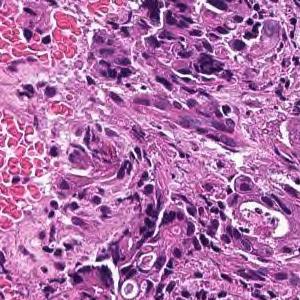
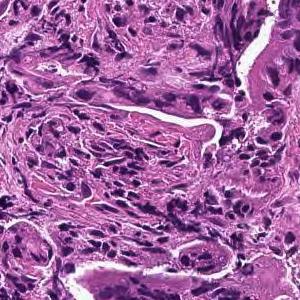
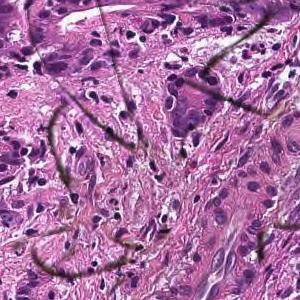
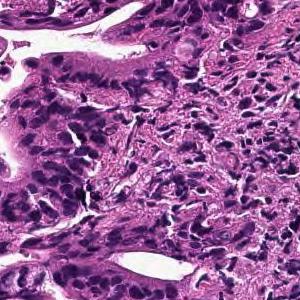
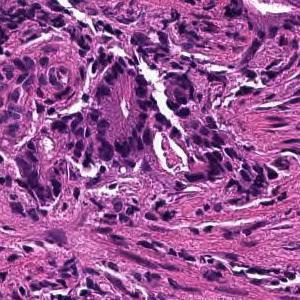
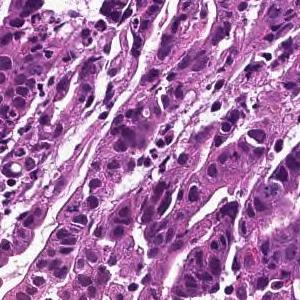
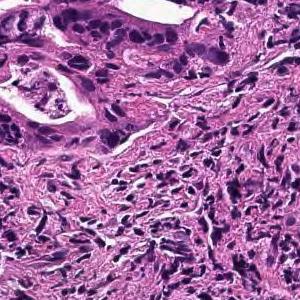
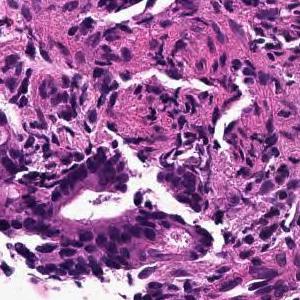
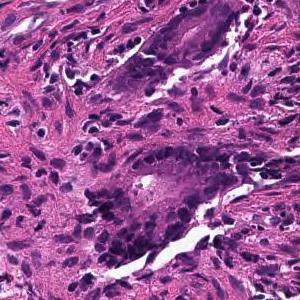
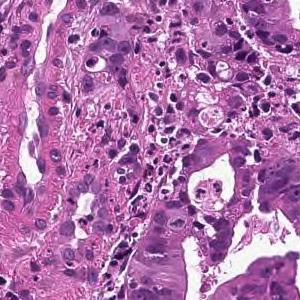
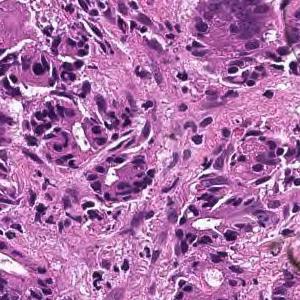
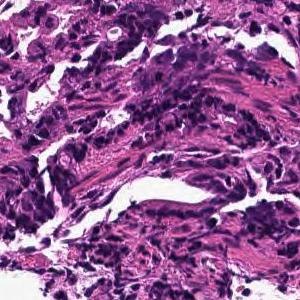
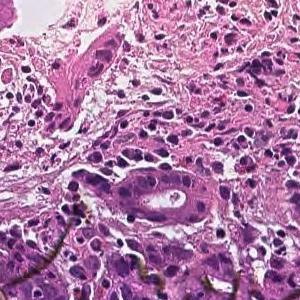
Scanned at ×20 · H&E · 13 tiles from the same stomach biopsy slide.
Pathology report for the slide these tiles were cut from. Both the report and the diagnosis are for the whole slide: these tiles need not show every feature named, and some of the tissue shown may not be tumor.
In the superficial epithelium, tumor tissue that invades by forming medium-sized to small, irregular ducts is observed. moderately differentiated tubular adenocarcinoma.
